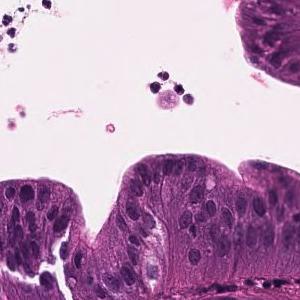
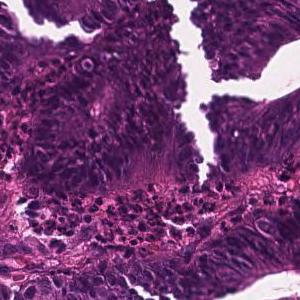
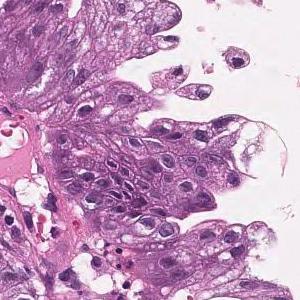
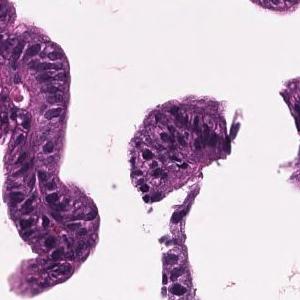
4 image tiles from a single gastric biopsy slide; H&E stain.
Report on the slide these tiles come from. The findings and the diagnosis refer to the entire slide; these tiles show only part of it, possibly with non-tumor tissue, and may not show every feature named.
In the superficial epithelium, tumor tissue that invades by forming medium-sized to small, irregular ducts is observed. Well differentiated tubular adenocarcinoma.
